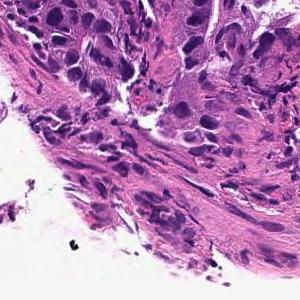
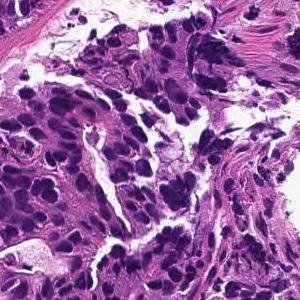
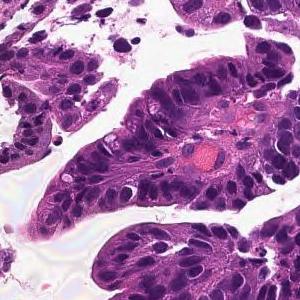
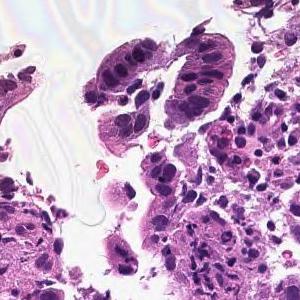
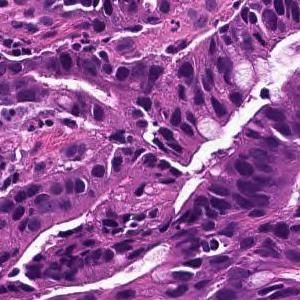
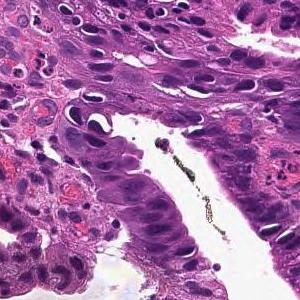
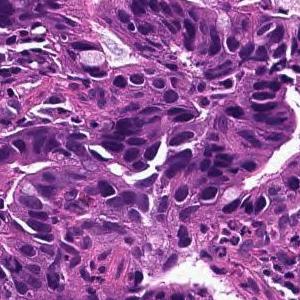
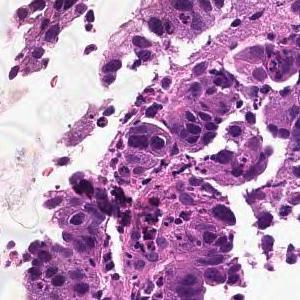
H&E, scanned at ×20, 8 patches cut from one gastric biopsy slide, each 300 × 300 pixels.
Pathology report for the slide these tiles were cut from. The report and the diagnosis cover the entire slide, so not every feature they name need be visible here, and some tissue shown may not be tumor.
From the superficial epithelium to the muscularis mucosae, tumor tissue consisting of medium-sized and irregular glandular ducts infiltrating is observed. Well differentiated tubular adenocarcinoma
